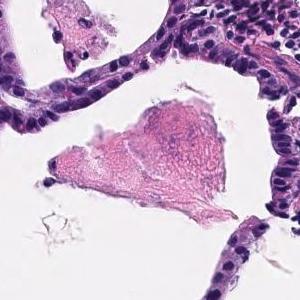
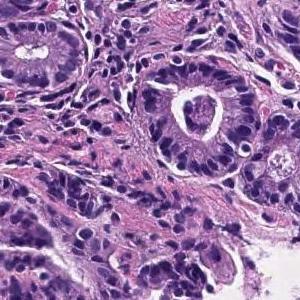
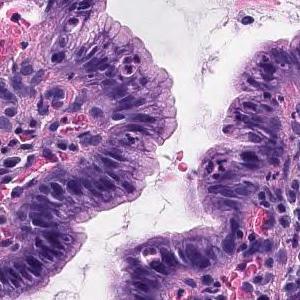
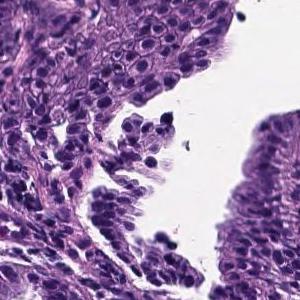
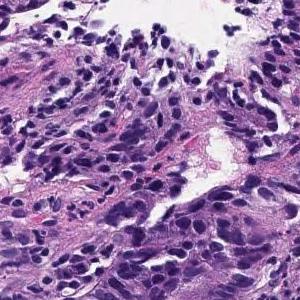
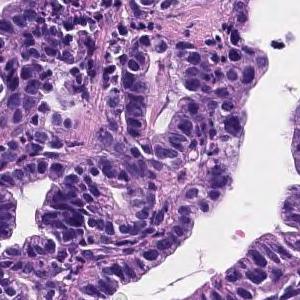
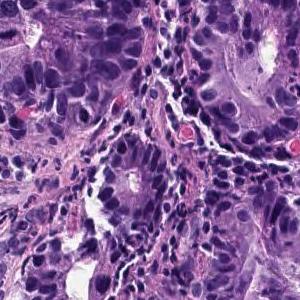
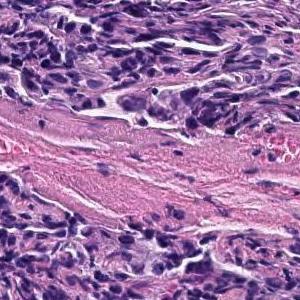
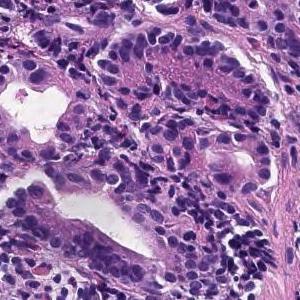
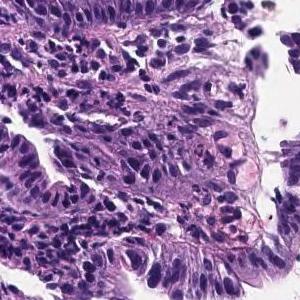
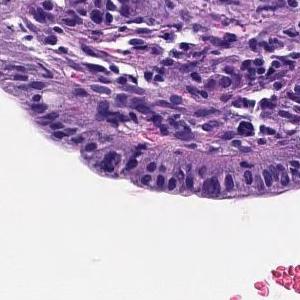
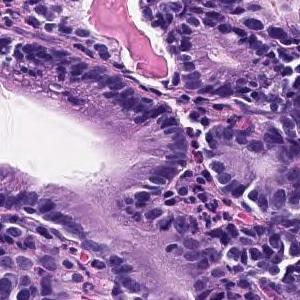
12 patches cut from one gastric biopsy slide · 300 × 300 pixels each.
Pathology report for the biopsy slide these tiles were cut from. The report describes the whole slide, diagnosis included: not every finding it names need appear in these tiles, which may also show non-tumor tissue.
The superficial tumors shows large papillary structures or large and small ducts and infiltrates. Papillary adenocarcinoma.
